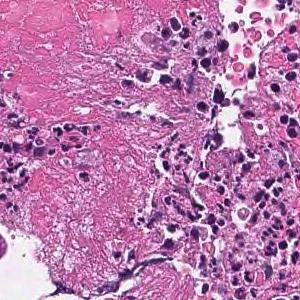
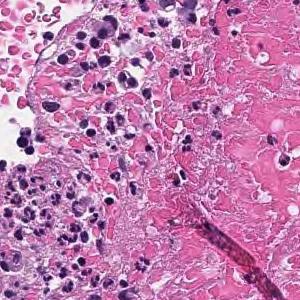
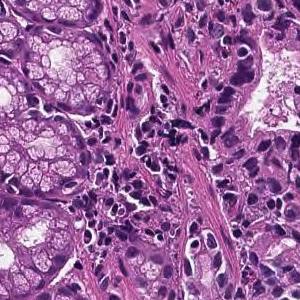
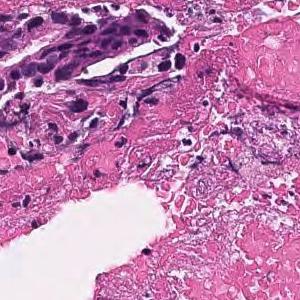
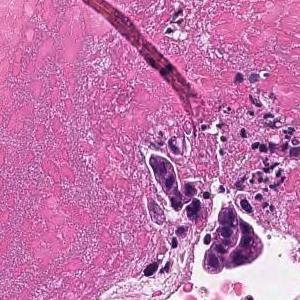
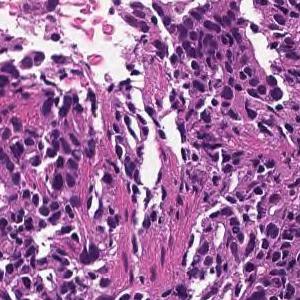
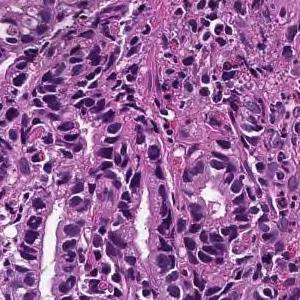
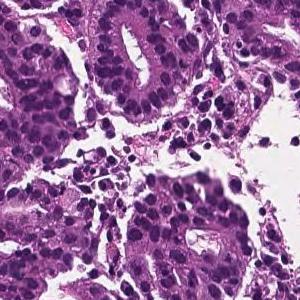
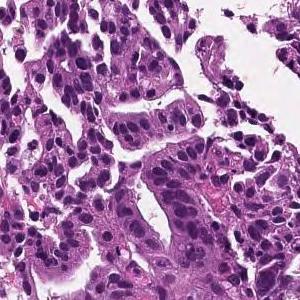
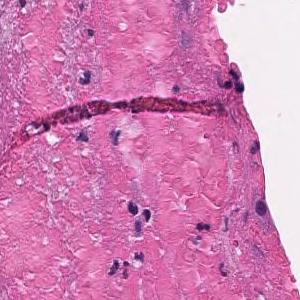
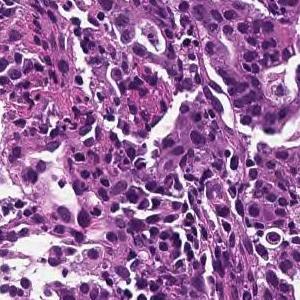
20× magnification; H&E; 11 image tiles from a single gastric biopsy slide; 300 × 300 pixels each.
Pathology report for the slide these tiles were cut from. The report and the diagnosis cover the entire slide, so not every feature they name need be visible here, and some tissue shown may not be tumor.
On the superficial epithelium, tumor tissue that infiltrates by forming medium-sized papillary or small irregular ducts is observed. Papillary adenocarcinoma
